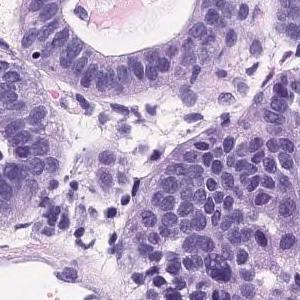
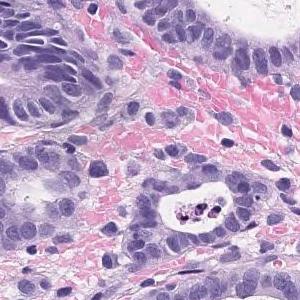
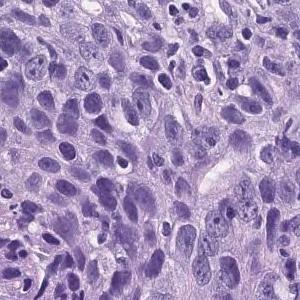
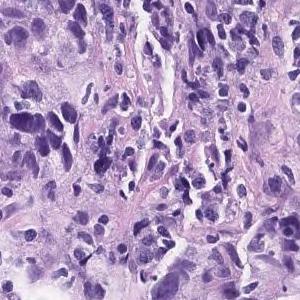
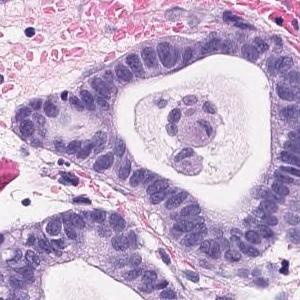
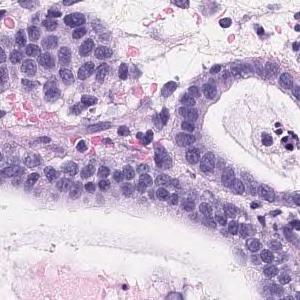
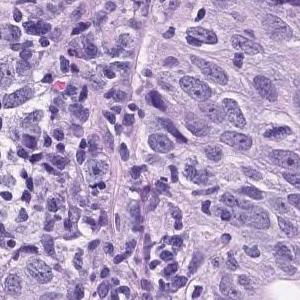
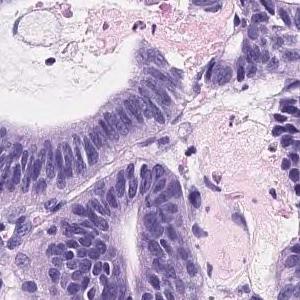
8 tiles from the same stomach biopsy slide · 300×300 px each · H&E stain · scanned at ×20.
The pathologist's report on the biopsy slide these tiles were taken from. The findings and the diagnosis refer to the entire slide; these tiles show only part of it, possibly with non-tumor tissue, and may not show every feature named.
The superficial epithelium shows a large sheet-like shape, and some tumor tissue infiltrates with small irregular ducts. Poorly differentiated adenocarcinoma, solid-type
Histologic type: Poorly differentiated adenocarcinoma, solid type, a category of the Japanese Classification of Gastric Carcinoma; in the WHO 2019 classification it is tubular adenocarcinoma, poorly differentiated.
